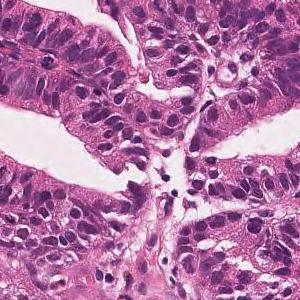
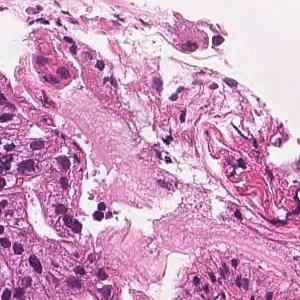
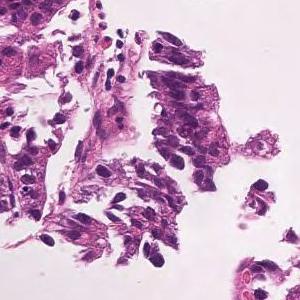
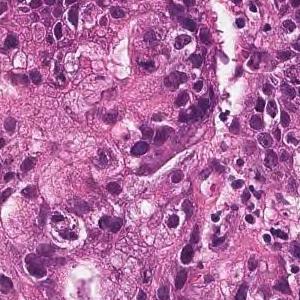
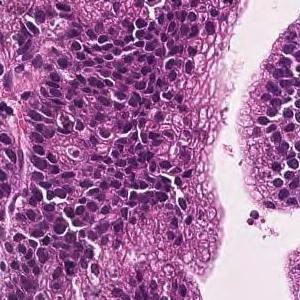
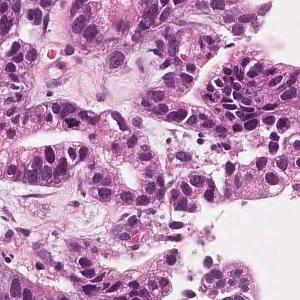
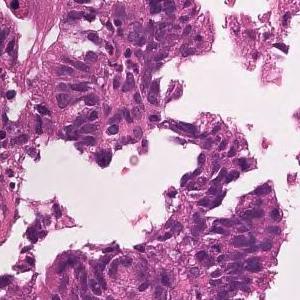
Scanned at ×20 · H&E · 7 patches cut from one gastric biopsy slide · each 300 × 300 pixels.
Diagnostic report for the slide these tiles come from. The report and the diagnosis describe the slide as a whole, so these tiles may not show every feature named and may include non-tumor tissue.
On the superficial epithelium, tumor tissue consisting of large, irregular glandular ducts partially fused and infiltrated is observed. Well to moderately differentiated tubular adenocarcinoma (well differentiated tubular adenocarcinoma, moderately differentiated tubular adenocarcinoma)
Histological subtype: Well to moderately differentiated tubular adenocarcinoma.
